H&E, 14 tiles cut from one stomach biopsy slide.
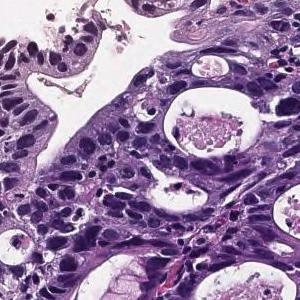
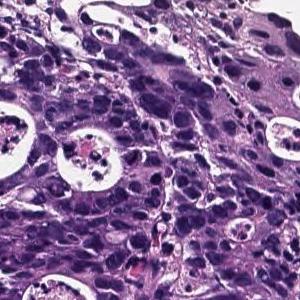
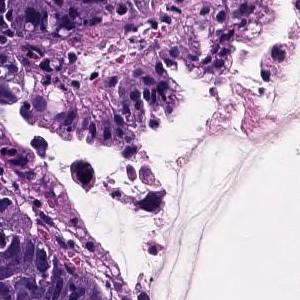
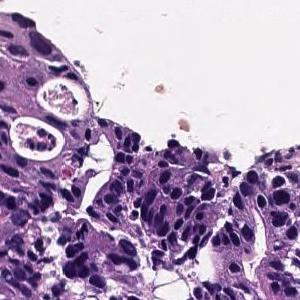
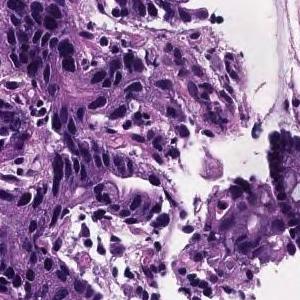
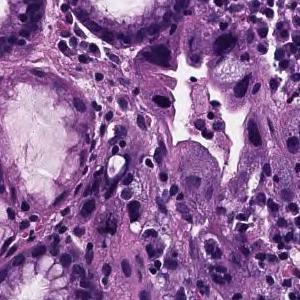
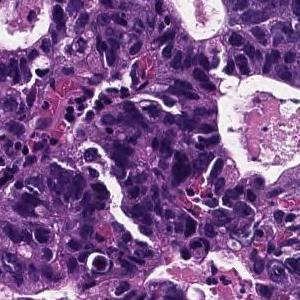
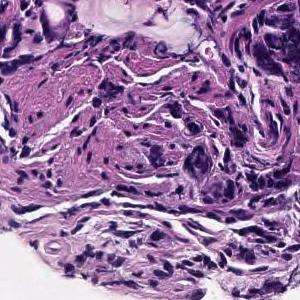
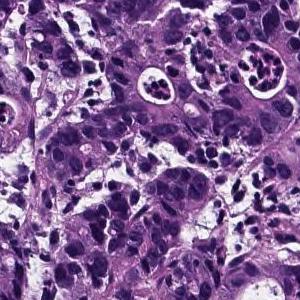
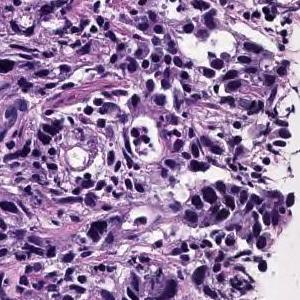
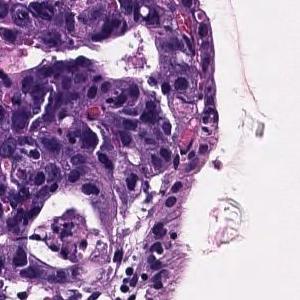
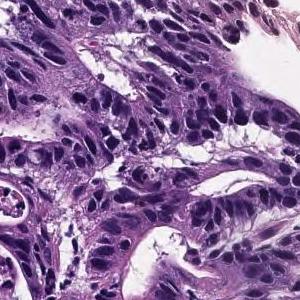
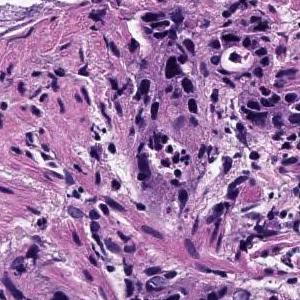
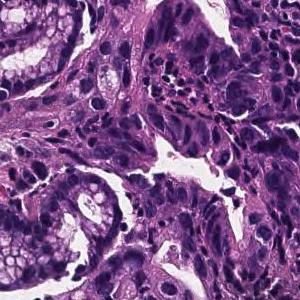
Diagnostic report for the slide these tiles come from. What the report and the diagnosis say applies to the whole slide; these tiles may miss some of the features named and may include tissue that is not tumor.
In the superficial epithelium, tumor tissue that invades by forming medium-sized to small, irregular ducts is observed. moderately differentiated tubular adenocarcinoma.
